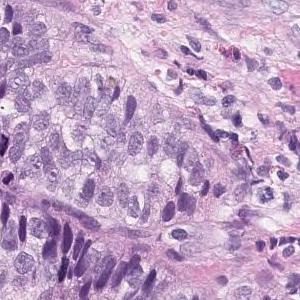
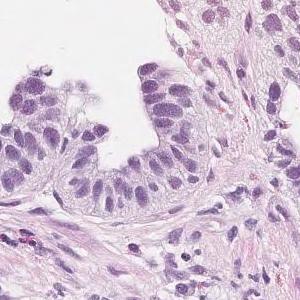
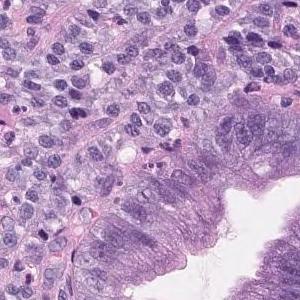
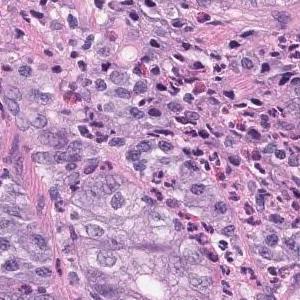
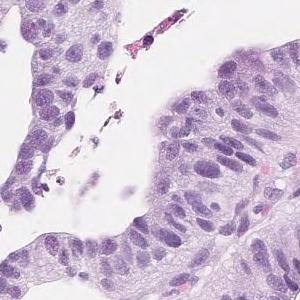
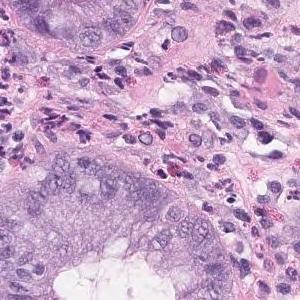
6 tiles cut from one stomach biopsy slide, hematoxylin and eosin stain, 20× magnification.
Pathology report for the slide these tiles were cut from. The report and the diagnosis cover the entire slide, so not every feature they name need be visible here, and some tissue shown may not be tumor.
Tumor tissue in which highly columnar atypical epithelial cells with nuclear enlargement and increased nuclear chromatin show papillary to papillary ductal structure and proliferate is observed. Papillary adenocarcinoma.
